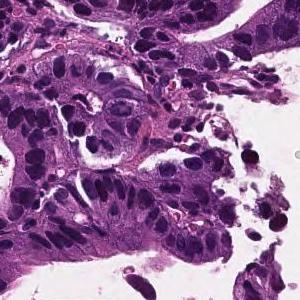
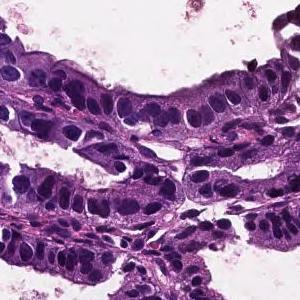
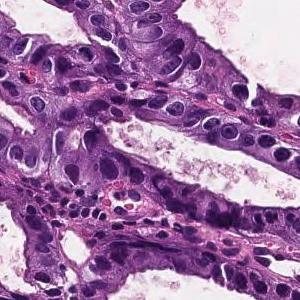
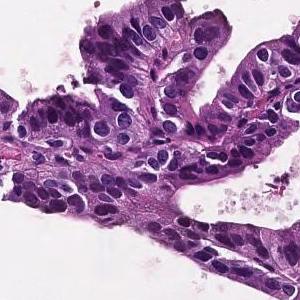
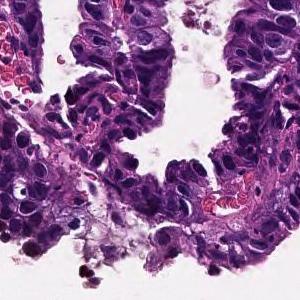
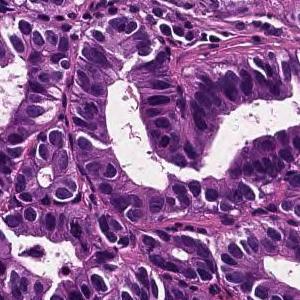
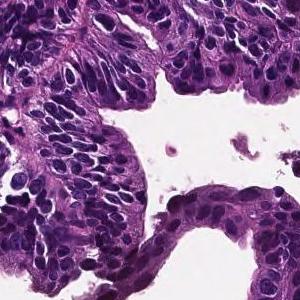
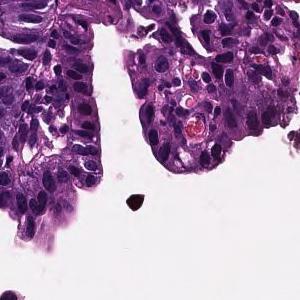
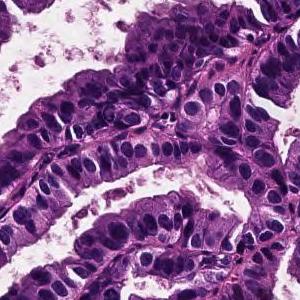
Scanned at ×20, H&E stain, 9 tiles cut from one stomach biopsy slide.
Diagnostic report for the slide these tiles come from. Both the report and the diagnosis are for the whole slide: these tiles need not show every feature named, and some of the tissue shown may not be tumor.
From the superficial epithelium to the muscularis mucosae, tumor tissue consisting of medium-sized and irregular glandular ducts infiltrating is observed. Well differentiated tubular adenocarcinoma
